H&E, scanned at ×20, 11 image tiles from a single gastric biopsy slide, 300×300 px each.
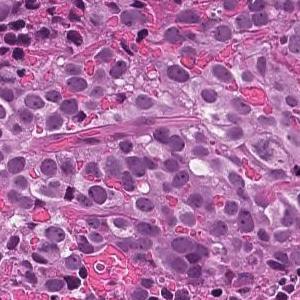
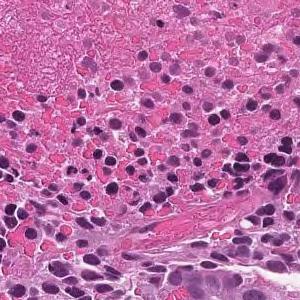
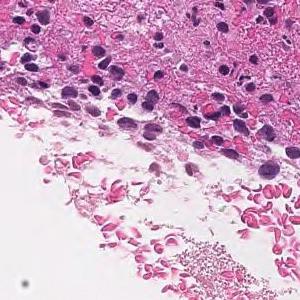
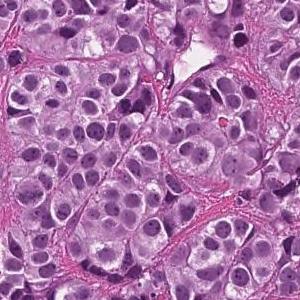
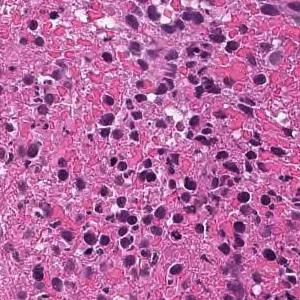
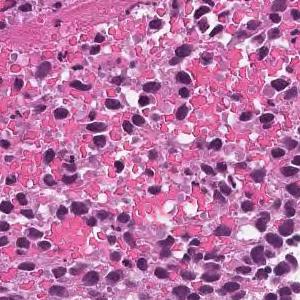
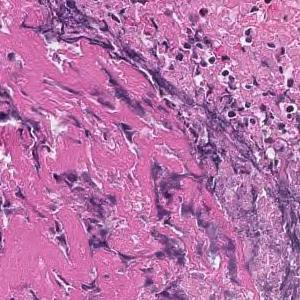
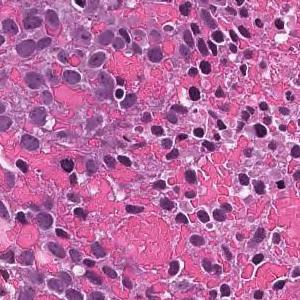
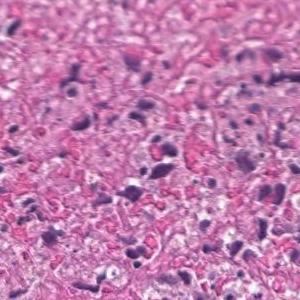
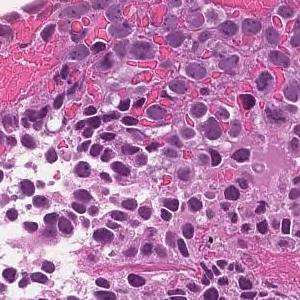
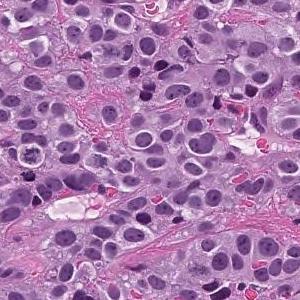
Pathology report for the biopsy slide these tiles were cut from. Both the report and the diagnosis are for the whole slide: these tiles need not show every feature named, and some of the tissue shown may not be tumor.
The superficial epithelium shows a large sheet-like shape, and some tumor tissue infiltrates with small irregular ducts. Poorly differentiated adenocarcinoma, solid-type
Histologic type: Poorly differentiated adenocarcinoma, solid type (Japanese Classification of Gastric Carcinoma). The WHO 2019 equivalent is tubular adenocarcinoma, poorly differentiated.
